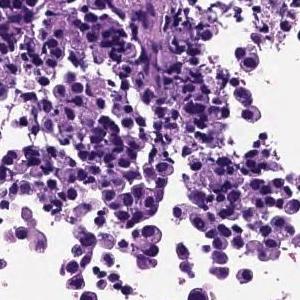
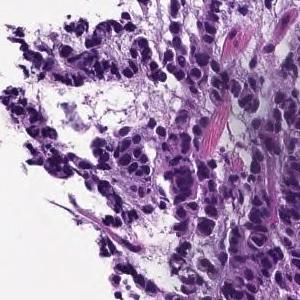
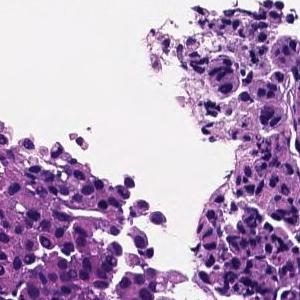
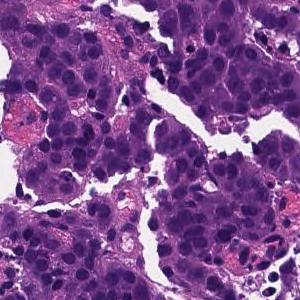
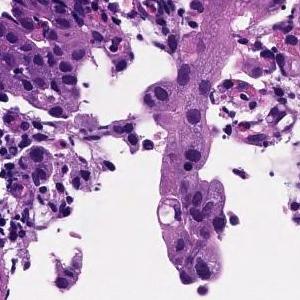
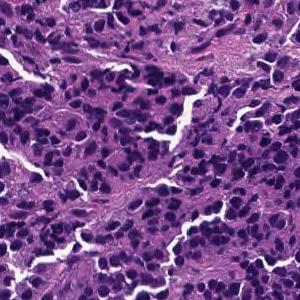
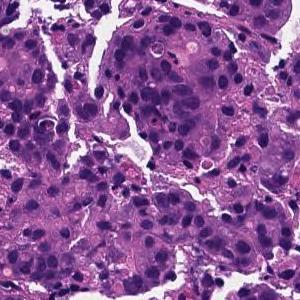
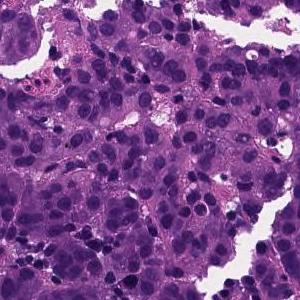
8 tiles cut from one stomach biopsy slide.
Pathology report for the biopsy slide these tiles were cut from. The findings and the diagnosis refer to the entire slide; these tiles show only part of it, possibly with non-tumor tissue, and may not show every feature named.
The superficial epithelium shows a large sheet-like shape, and some tumor tissue infiltrates with small irregular ducts. Poorly differentiated adenocarcinoma, solid-type
Subtype: Poorly differentiated adenocarcinoma, solid type, a category of the Japanese Classification of Gastric Carcinoma; in the WHO 2019 classification it is tubular adenocarcinoma, poorly differentiated.
